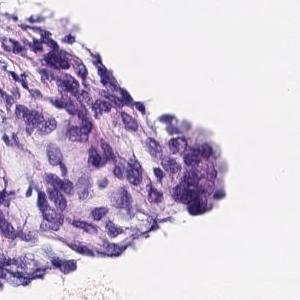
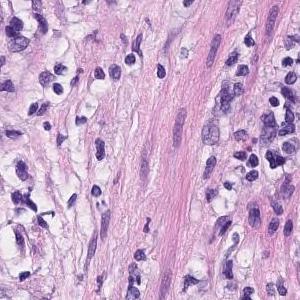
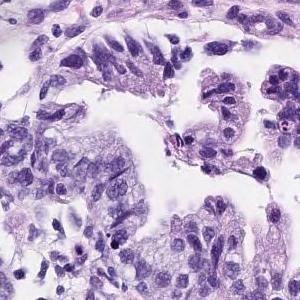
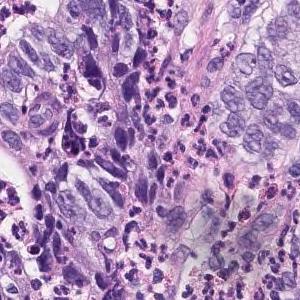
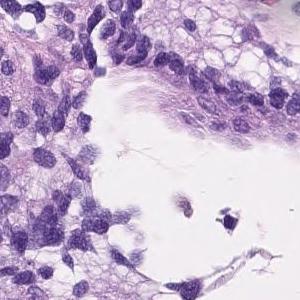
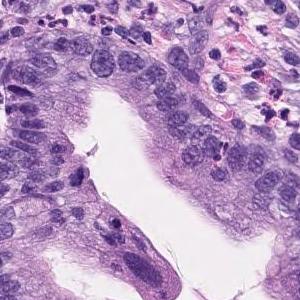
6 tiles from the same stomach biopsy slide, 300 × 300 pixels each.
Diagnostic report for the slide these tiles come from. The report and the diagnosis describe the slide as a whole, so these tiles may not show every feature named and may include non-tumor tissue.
Tumor cells are large, highly columnar, large club-shaped nuclei, and are associated with chromatin aggregation. Papillary adenocarcinoma.
